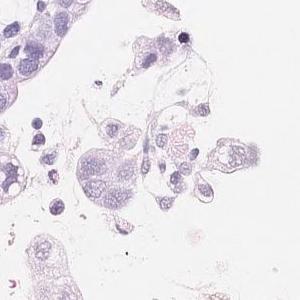
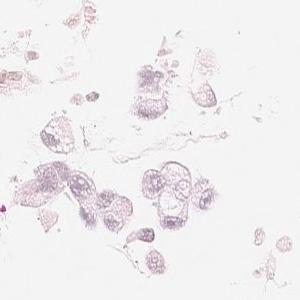
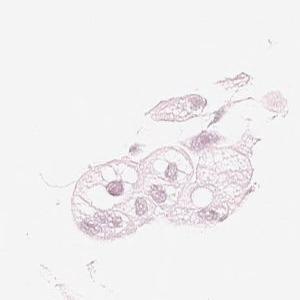
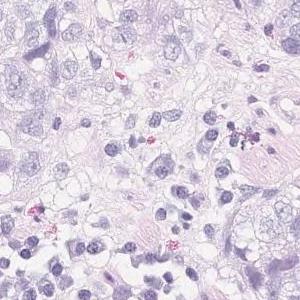
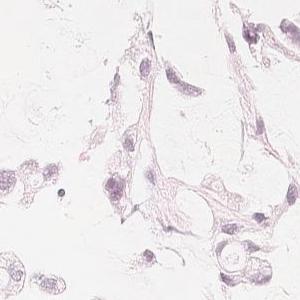
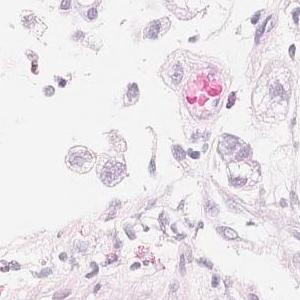
6 tiles cut from one stomach biopsy slide.
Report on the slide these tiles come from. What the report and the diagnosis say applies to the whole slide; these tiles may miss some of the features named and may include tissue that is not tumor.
Atypical l cells with atypical nuclei forming diffuse or irregular atypical ducts and infiltrating. Poorly differentiated adenocarcinoma, solid-type
Subtype: Poorly differentiated adenocarcinoma, solid type (Japanese Classification of Gastric Carcinoma). The WHO 2019 equivalent is tubular adenocarcinoma, poorly differentiated.
